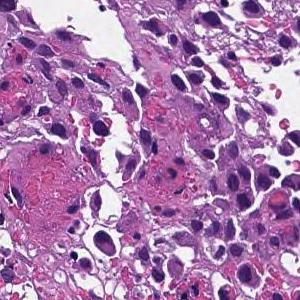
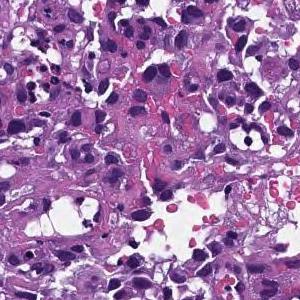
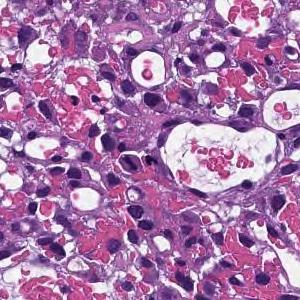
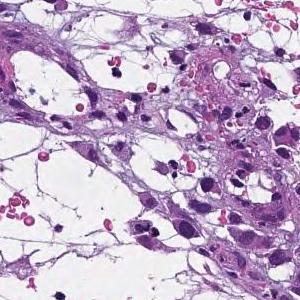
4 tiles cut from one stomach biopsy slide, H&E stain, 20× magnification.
The pathologist's report on the biopsy slide these tiles were taken from. What the report and the diagnosis say applies to the whole slide; these tiles may miss some of the features named and may include tissue that is not tumor.
Tumor tissue consisting of cord-like or small, irregular glandular ducts fused and infiltrated is observed in the superficial epithelium. Poorly differentiated adenocarcinoma, non-solid type
"Non-solid type" is a category of the Japanese Classification of Gastric Carcinoma.
